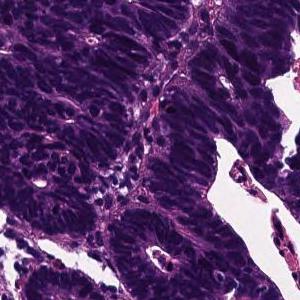
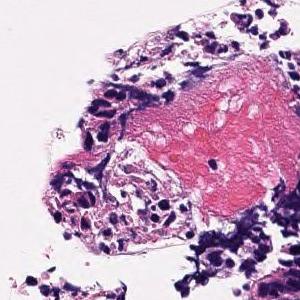
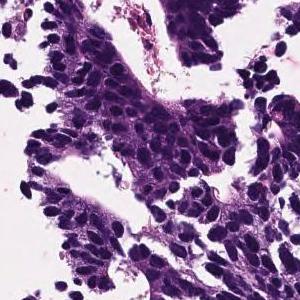
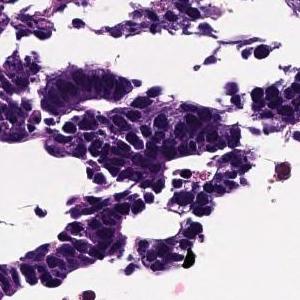
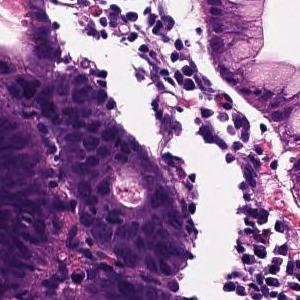
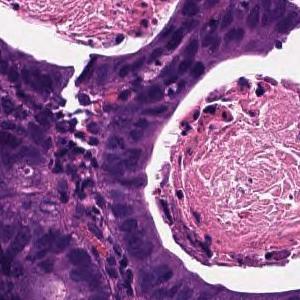
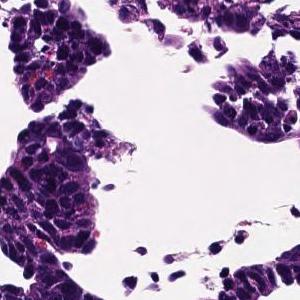
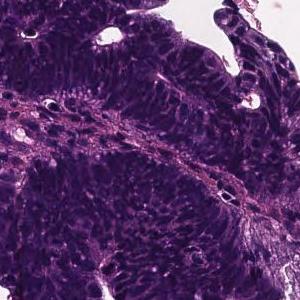
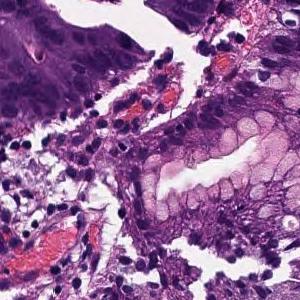
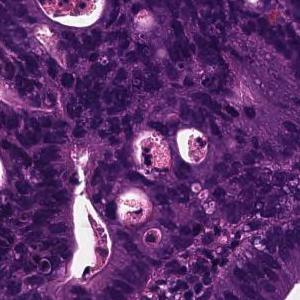
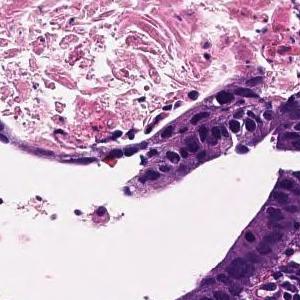
11 image tiles from a single gastric biopsy slide · each 300 × 300 pixels · scanned at ×20 · H&E.
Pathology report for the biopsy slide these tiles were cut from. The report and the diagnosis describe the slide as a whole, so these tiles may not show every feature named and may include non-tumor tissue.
In the superficial epithelium, tumor tissue that invades by forming medium-sized to small, irregular ducts is observed. moderately differentiated tubular adenocarcinoma.
